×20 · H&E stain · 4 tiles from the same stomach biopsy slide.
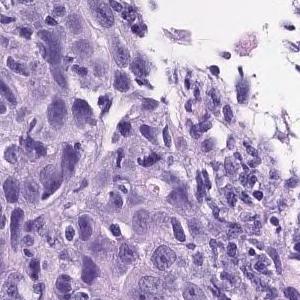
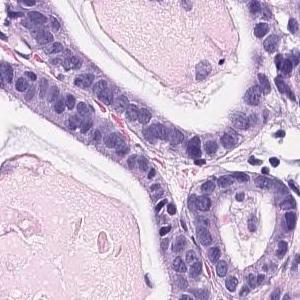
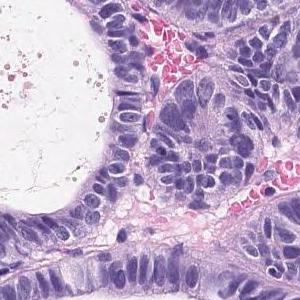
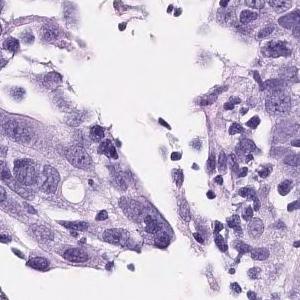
The pathologist's report on the biopsy slide these tiles were taken from. The report and the diagnosis cover the entire slide, so not every feature they name need be visible here, and some tissue shown may not be tumor.
The superficial epithelium shows a large sheet-like shape, and some tumor tissue infiltrates with small irregular ducts. Poorly differentiated adenocarcinoma, solid-type
Tumor subtype: poorly differentiated adenocarcinoma, solid type, a category of the Japanese Classification of Gastric Carcinoma; in the WHO 2019 classification it is tubular adenocarcinoma, poorly differentiated.
